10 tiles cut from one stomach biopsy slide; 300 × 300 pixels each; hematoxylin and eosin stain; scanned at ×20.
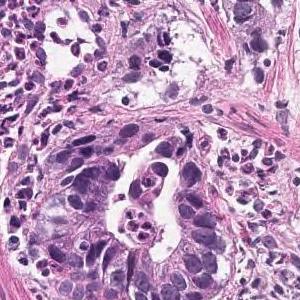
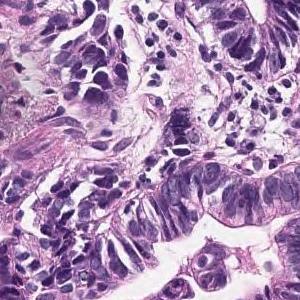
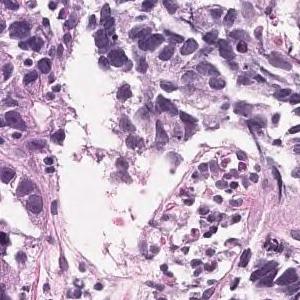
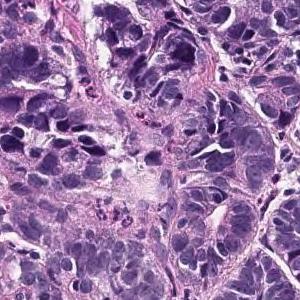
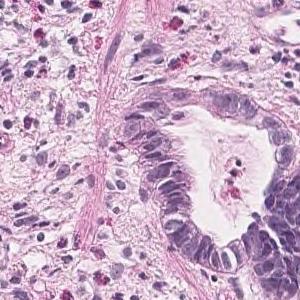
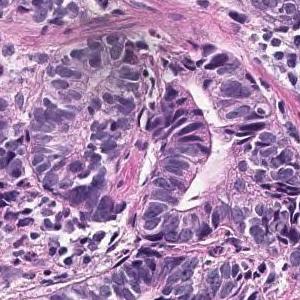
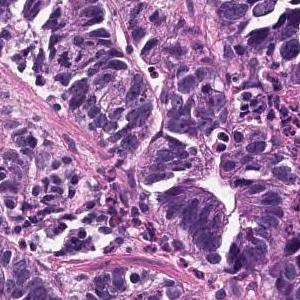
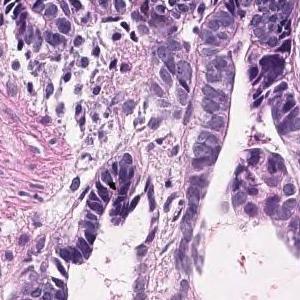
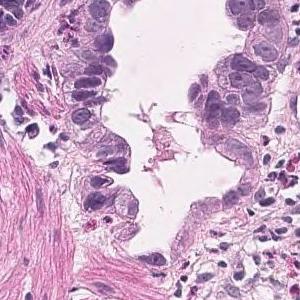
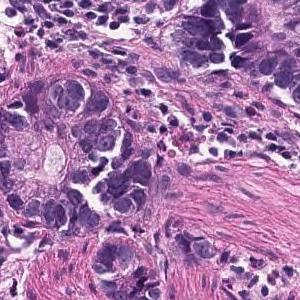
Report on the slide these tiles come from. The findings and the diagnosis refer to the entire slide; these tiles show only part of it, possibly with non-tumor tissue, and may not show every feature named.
In the superficial epithelium, tumor tissue that invades by forming medium-sized to small, irregular ducts is observed. Well differentiated tubular adenocarcinoma.
